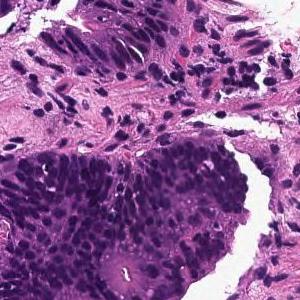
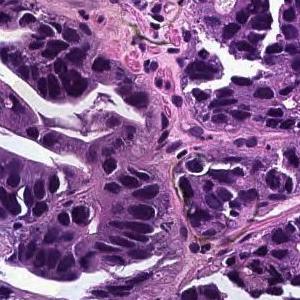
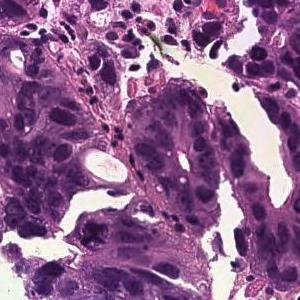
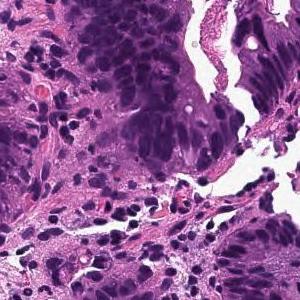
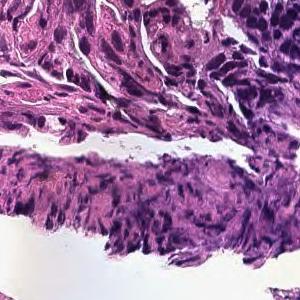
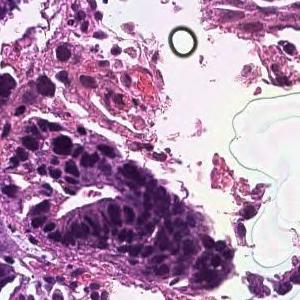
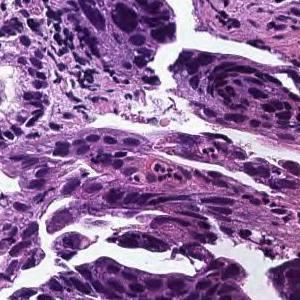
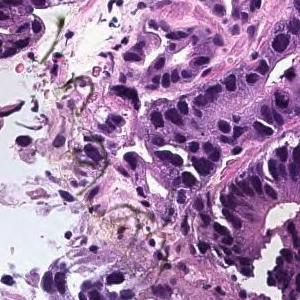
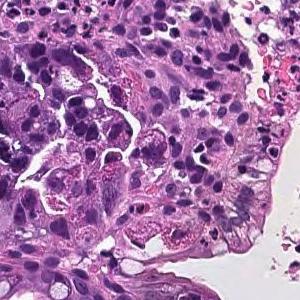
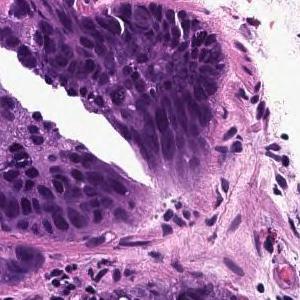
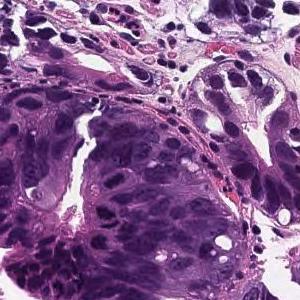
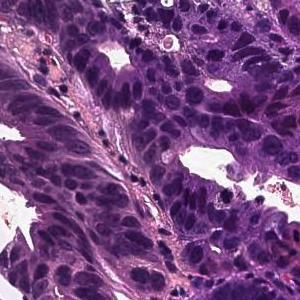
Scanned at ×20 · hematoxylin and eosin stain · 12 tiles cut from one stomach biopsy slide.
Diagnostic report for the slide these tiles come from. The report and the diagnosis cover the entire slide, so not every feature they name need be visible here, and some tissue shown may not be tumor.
In the superficial epithelium, tumor tissue that invades by forming medium-sized to small, irregular ducts is observed. moderately differentiated tubular adenocarcinoma.
